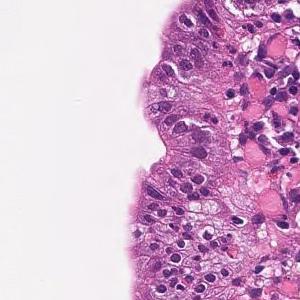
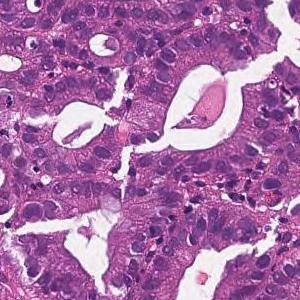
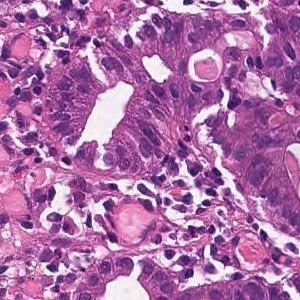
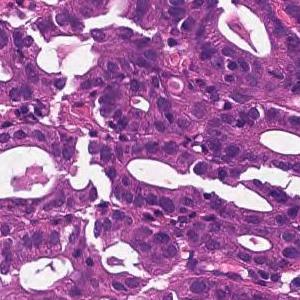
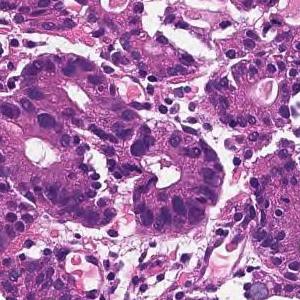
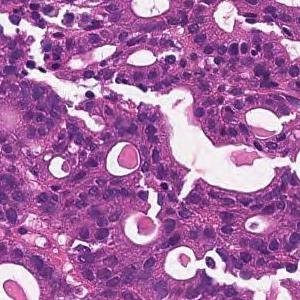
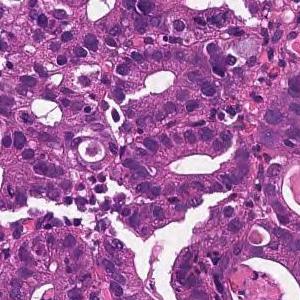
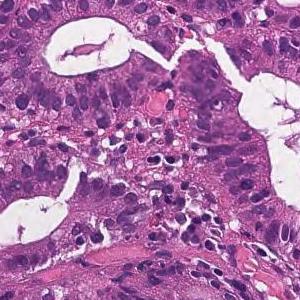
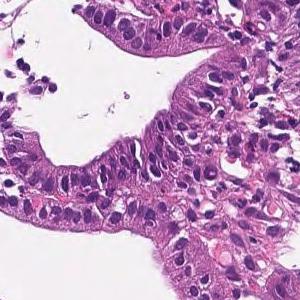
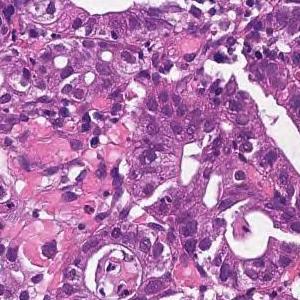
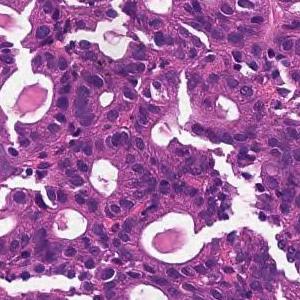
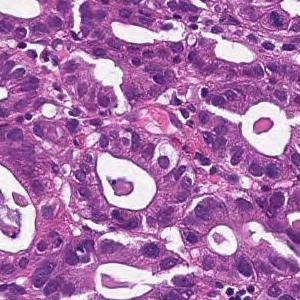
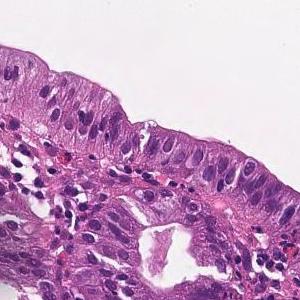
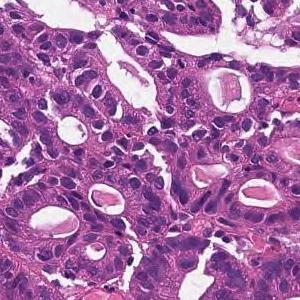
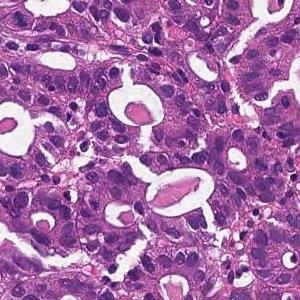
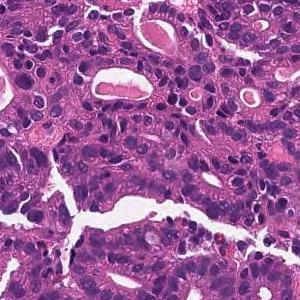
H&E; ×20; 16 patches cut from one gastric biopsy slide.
Pathology report for the biopsy slide these tiles were cut from. The report describes the whole slide, diagnosis included: not every finding it names need appear in these tiles, which may also show non-tumor tissue.
On the superficial epithelium, tumor tissue consisting of medium-sized irregular glandular ducts partially fused and infiltrated is observed. Well to moderately differentiated tubular adenocarcinoma (well differentiated tubular adenocarcinoma-moderately differentiated tubular adenocarcinoma)
Subtype: Well to moderately differentiated tubular adenocarcinoma.
